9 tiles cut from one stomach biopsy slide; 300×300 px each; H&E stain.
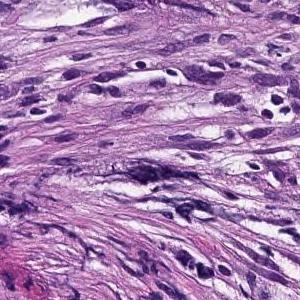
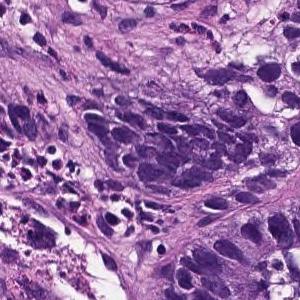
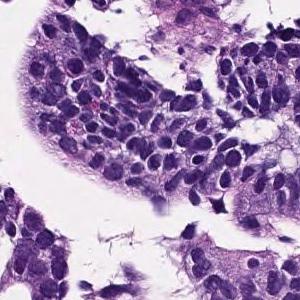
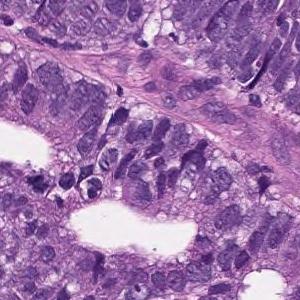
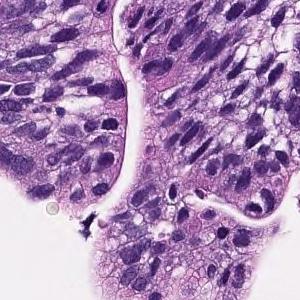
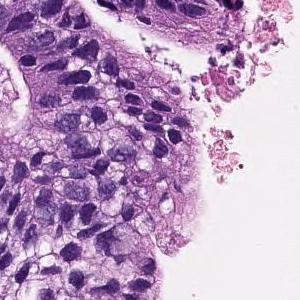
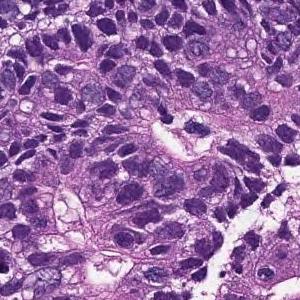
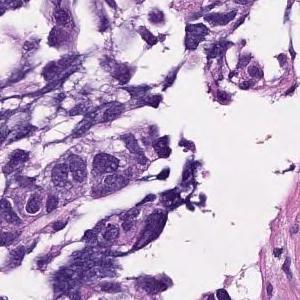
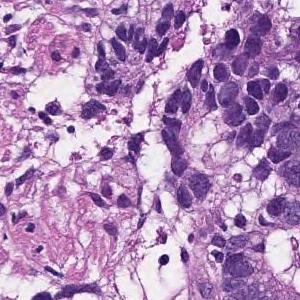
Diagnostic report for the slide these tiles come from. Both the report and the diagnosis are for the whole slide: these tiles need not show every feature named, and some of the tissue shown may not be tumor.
In the superficial epithelium, tumor tissue that invades by forming medium-sized to small, irregular ducts is observed. moderately differentiated tubular adenocarcinoma.
